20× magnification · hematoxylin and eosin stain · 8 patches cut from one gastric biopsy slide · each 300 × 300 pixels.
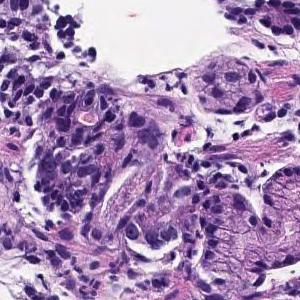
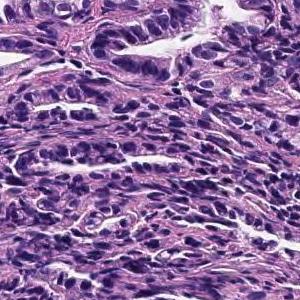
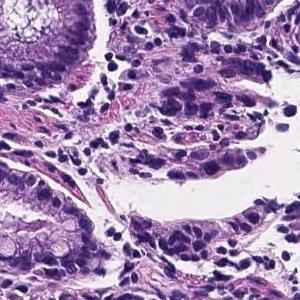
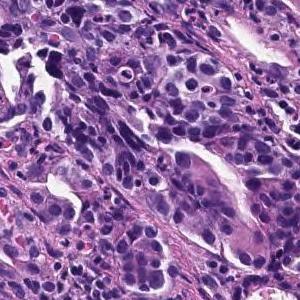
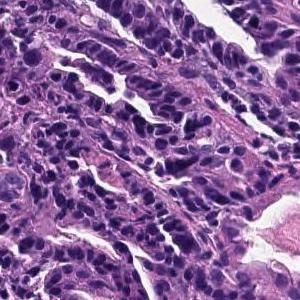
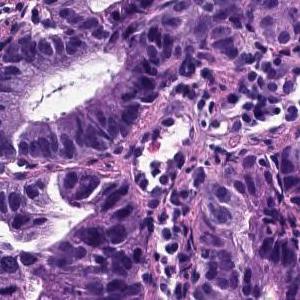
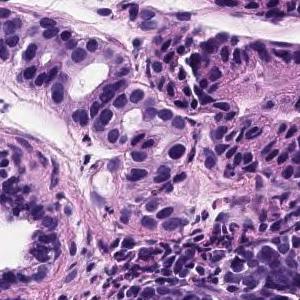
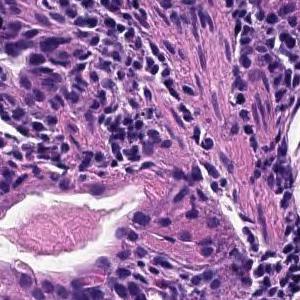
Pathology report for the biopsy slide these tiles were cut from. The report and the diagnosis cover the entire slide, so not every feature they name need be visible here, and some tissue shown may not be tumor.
The superficial tumors shows large papillary structures or large and small ducts and infiltrates. Papillary adenocarcinoma.
